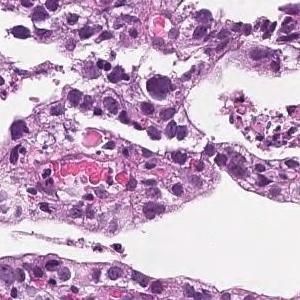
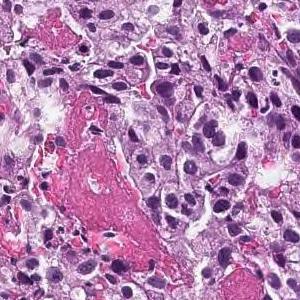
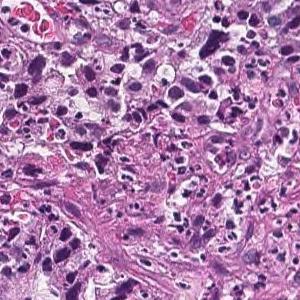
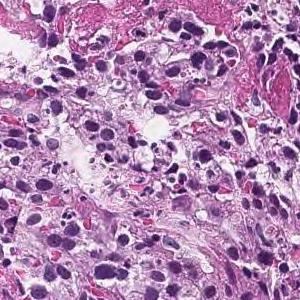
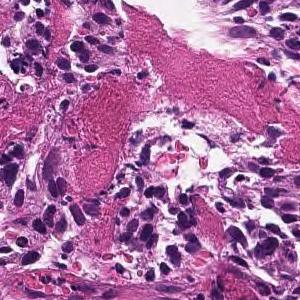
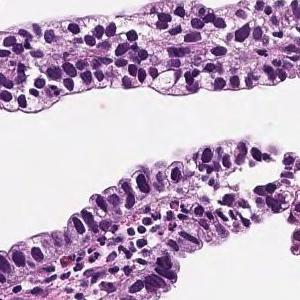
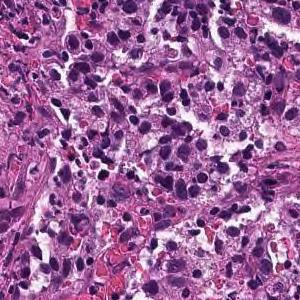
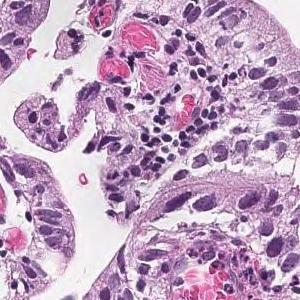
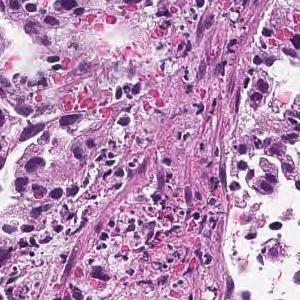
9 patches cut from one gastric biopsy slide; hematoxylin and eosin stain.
The pathologist's report on the biopsy slide these tiles were taken from. The report describes the whole slide, diagnosis included: not every finding it names need appear in these tiles, which may also show non-tumor tissue.
Tumor tissue consisting of medium-sized, cord-like or irregular glandular infiltration is observed in the superficial epithelium. Poorly differentiated adenocarcinoma, non-solid type or moderately differentiated tubular adenocarcinoma
Classified as moderately to poorly differentiated adenocarcinoma.
"Non-solid type" is a category of the Japanese Classification of Gastric Carcinoma.
